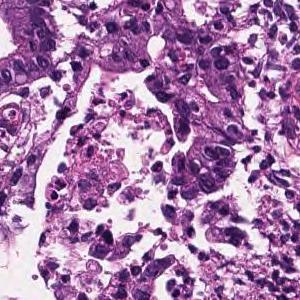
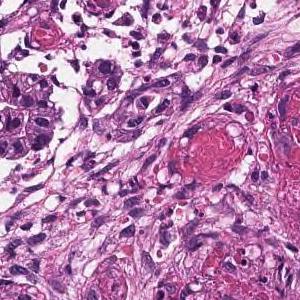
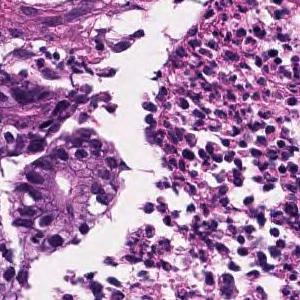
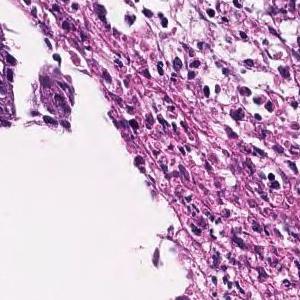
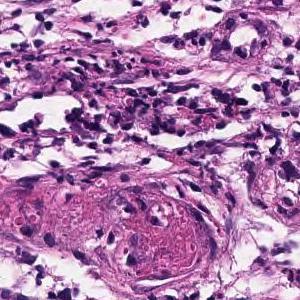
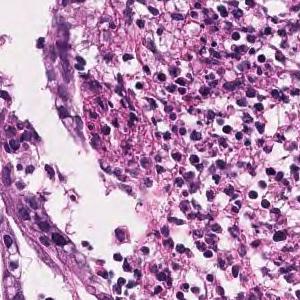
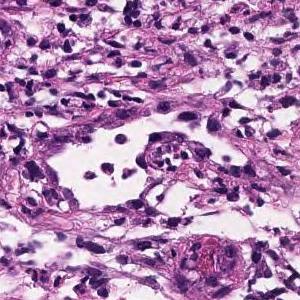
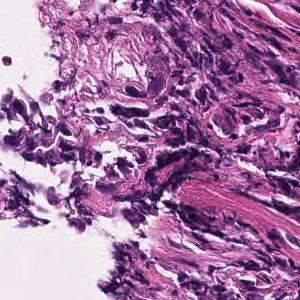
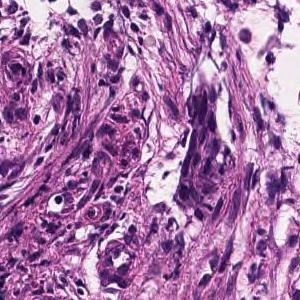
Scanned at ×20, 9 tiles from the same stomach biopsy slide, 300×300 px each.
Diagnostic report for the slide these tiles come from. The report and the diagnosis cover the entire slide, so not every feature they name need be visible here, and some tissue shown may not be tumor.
In the superficial epithelium, medium to small, irregular gland ducts are formed, and in some cases, the gland ducts are fused to show solid alveolar lesions and infiltrating tumor tissue is observed. Moderately to poorly differentiated adenocarcinoma.
